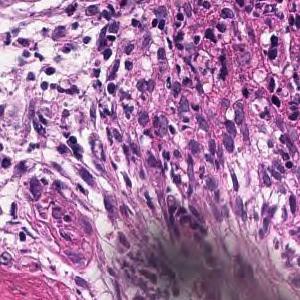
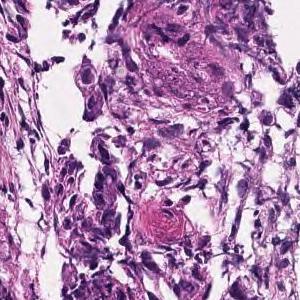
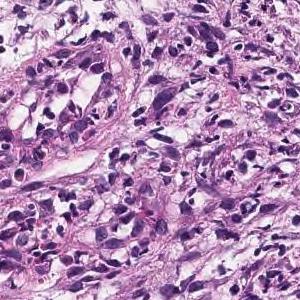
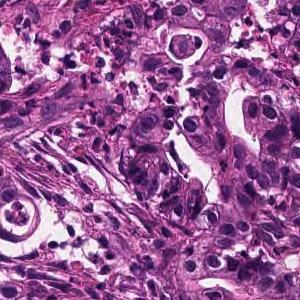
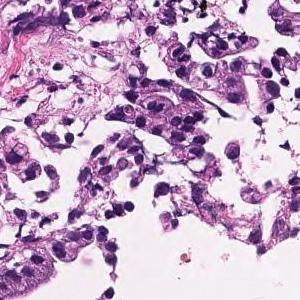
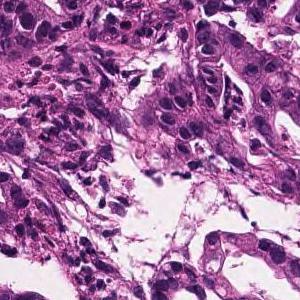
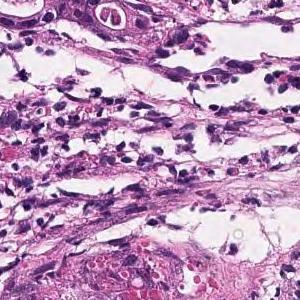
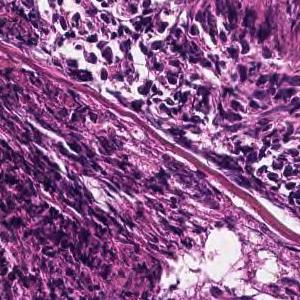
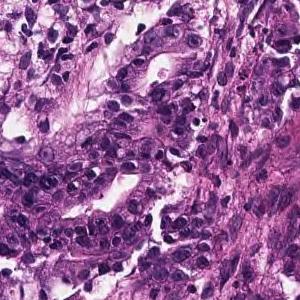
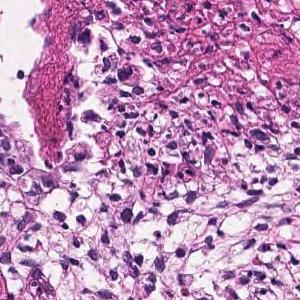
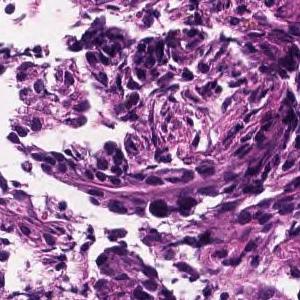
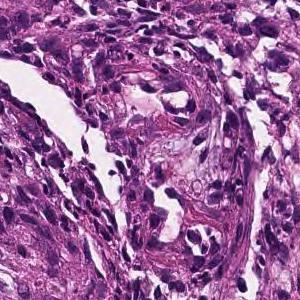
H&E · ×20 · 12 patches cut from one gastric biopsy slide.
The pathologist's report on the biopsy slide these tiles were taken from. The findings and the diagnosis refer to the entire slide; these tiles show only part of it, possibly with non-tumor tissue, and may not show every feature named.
In the superficial epithelium, medium to small, irregular gland ducts are formed, and in some cases, the gland ducts are fused to show solid alveolar lesions and infiltrating tumor tissue is observed. Moderately to poorly differentiated adenocarcinoma.
